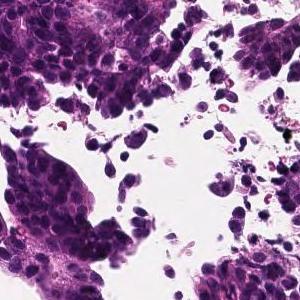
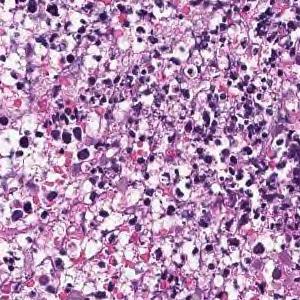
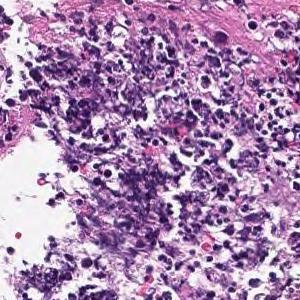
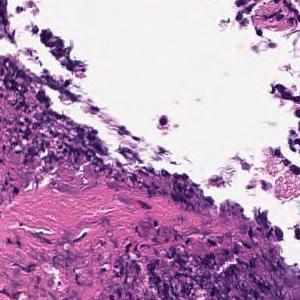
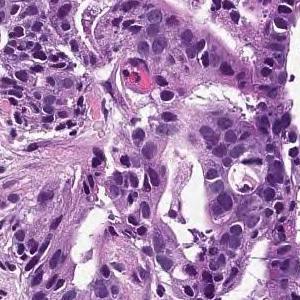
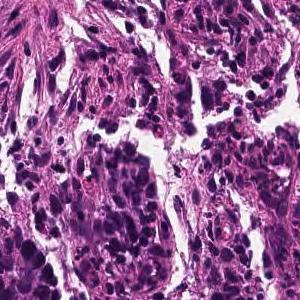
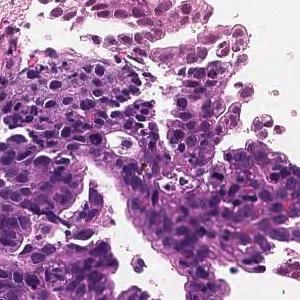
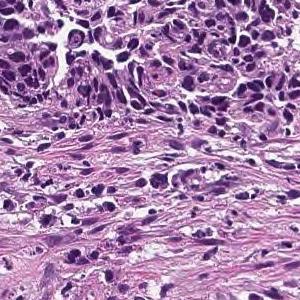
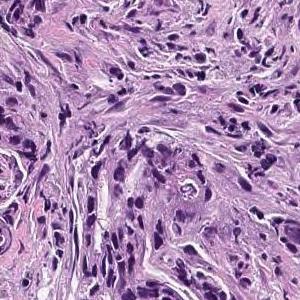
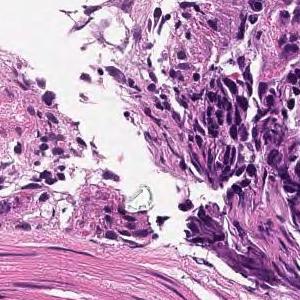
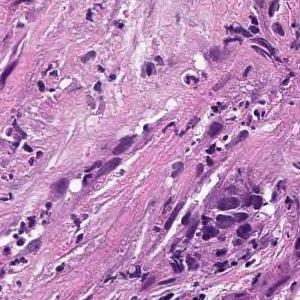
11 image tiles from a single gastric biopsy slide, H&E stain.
Report on the slide these tiles come from. The report describes the whole slide, diagnosis included: not every finding it names need appear in these tiles, which may also show non-tumor tissue.
In the superficial epithelium, tumor tissue that invades by forming medium-sized to small, irregular ducts is observed. moderately differentiated tubular adenocarcinoma.
